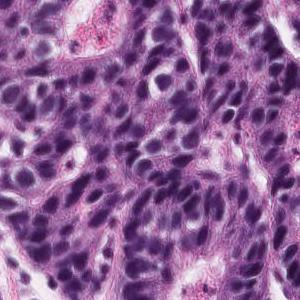
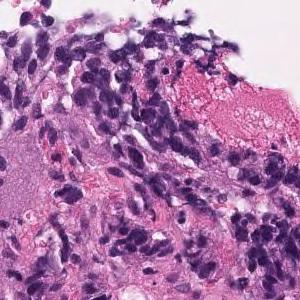
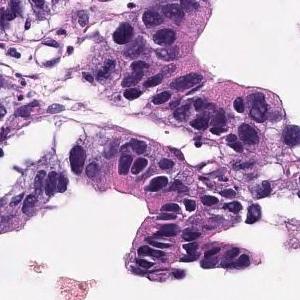
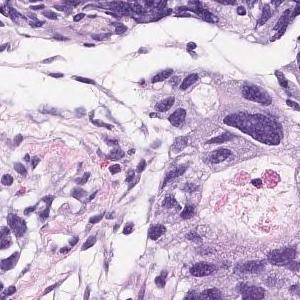
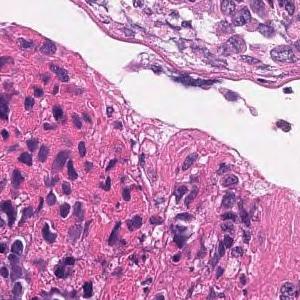
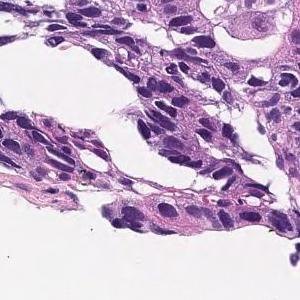
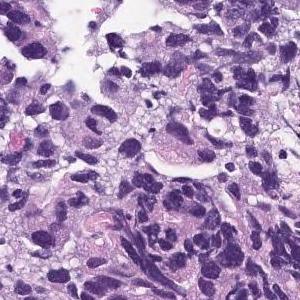
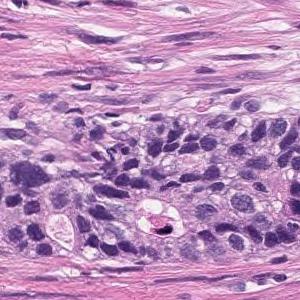
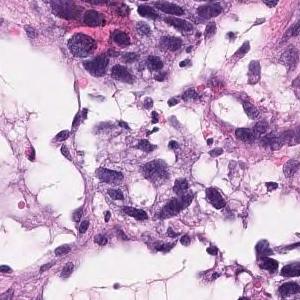
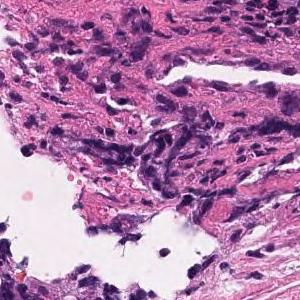
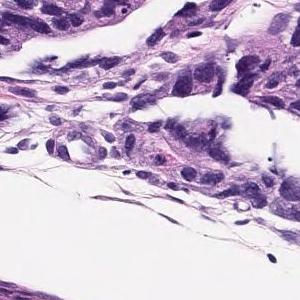
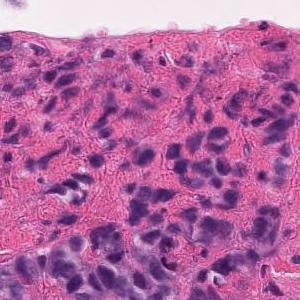
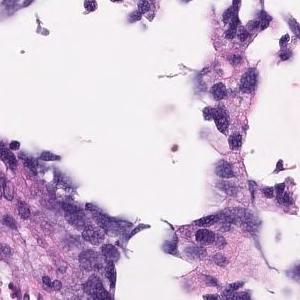
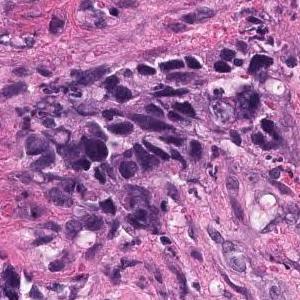
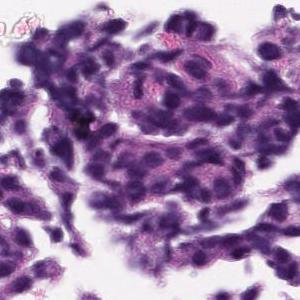
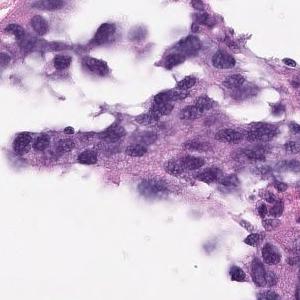
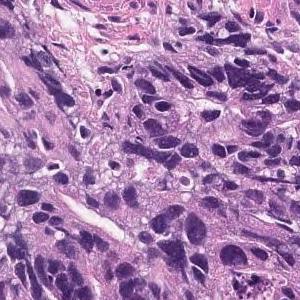
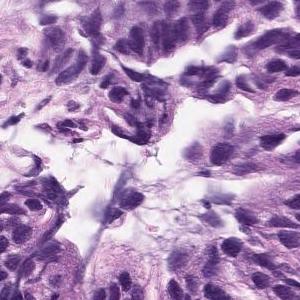
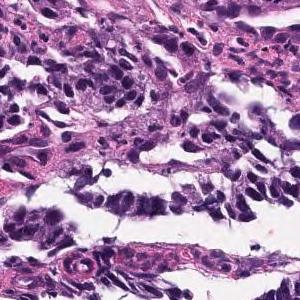
19 tiles cut from one stomach biopsy slide, 300×300 px each, H&E stain.
The pathologist's report on the biopsy slide these tiles were taken from. What the report and the diagnosis say applies to the whole slide; these tiles may miss some of the features named and may include tissue that is not tumor.
Medium to small, irregular glandular ducts are formed in the superficial epithelium, and in some cases, the glandular ducts are fused to show solid alveolar lesions and infiltrating tumor tissue is observed. Moderately to poorly differentiated adenocarcinoma.
